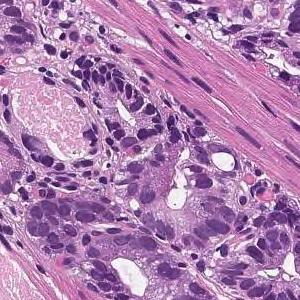
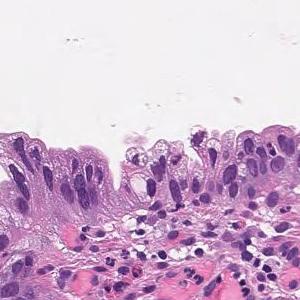
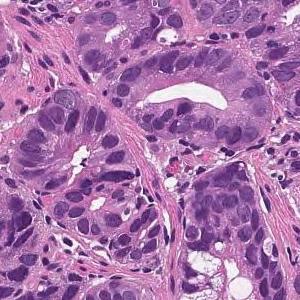
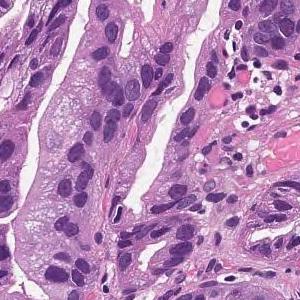
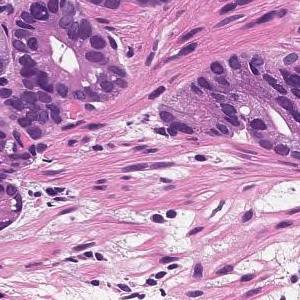
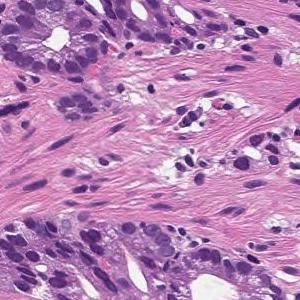
20× magnification, H&E, 6 patches cut from one gastric biopsy slide, each 300 × 300 pixels.
Report on the slide these tiles come from. The report and the diagnosis cover the entire slide, so not every feature they name need be visible here, and some tissue shown may not be tumor.
On the superficial epithelium, tumor tissue consisting of large irregular glandular ducts partially fused and infiltrated is observed. Well to moderately differentiated tubular adenocarcinoma (well differentiated tubular adenocarcinoma, moderately differentiated tubular adenocarcinoma)
Histological subtype: Well to moderately differentiated tubular adenocarcinoma.
